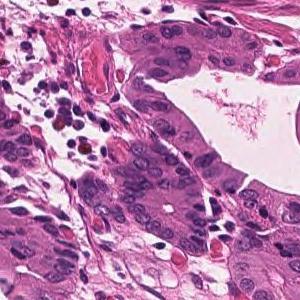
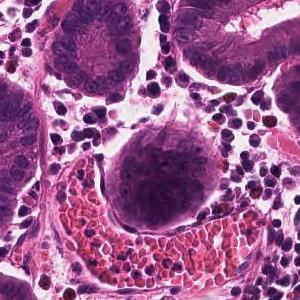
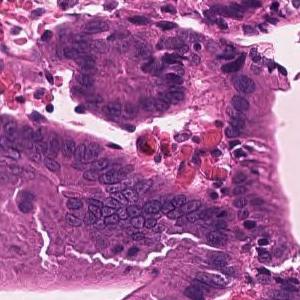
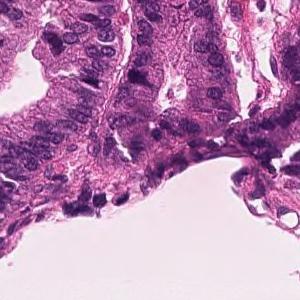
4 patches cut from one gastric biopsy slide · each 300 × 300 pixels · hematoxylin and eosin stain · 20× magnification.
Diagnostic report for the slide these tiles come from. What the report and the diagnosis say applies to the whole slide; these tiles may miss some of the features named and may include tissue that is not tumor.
Infiltrating tumor tissue with medium-sized, irregular ductal structure or large papillary appearance is observed. Well differentiated tubular adenocarcinoma
